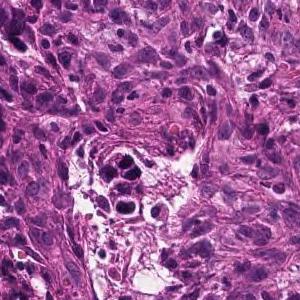
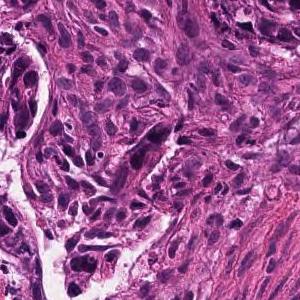
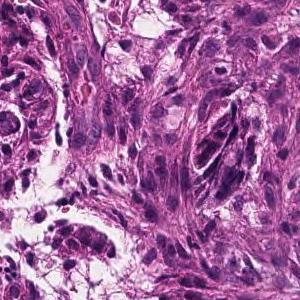
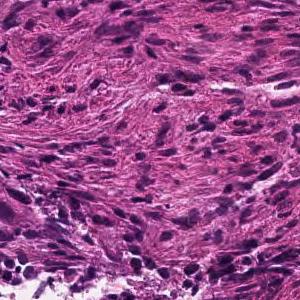
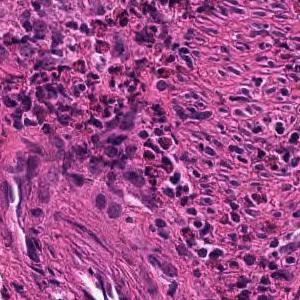
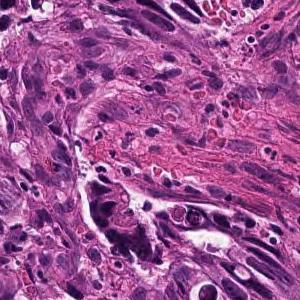
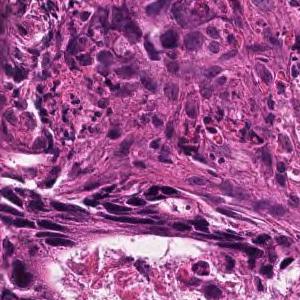
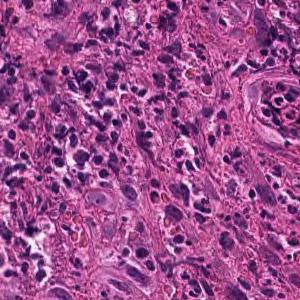
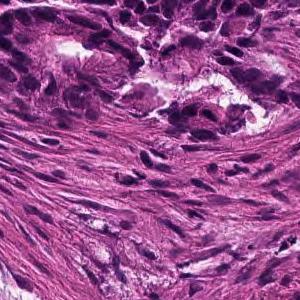
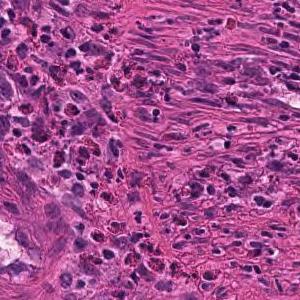
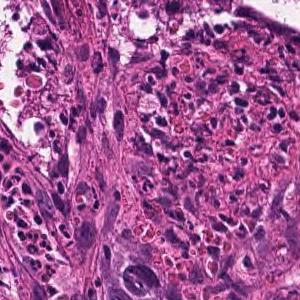
11 tiles from the same stomach biopsy slide, each 300 × 300 pixels, H&E stain, scanned at ×20.
Pathology report for the slide these tiles were cut from. The report and the diagnosis cover the entire slide, so not every feature they name need be visible here, and some tissue shown may not be tumor.
In the superficial epithelium, tumor tissue that invades by forming medium-sized to small, irregular ducts is observed. moderately differentiated tubular adenocarcinoma.
